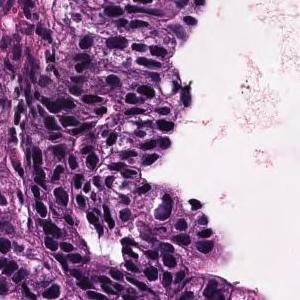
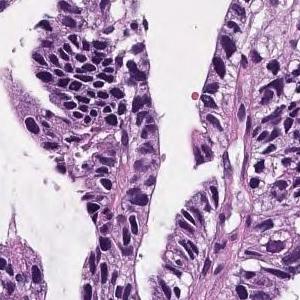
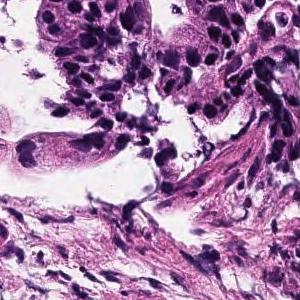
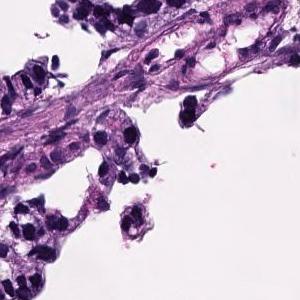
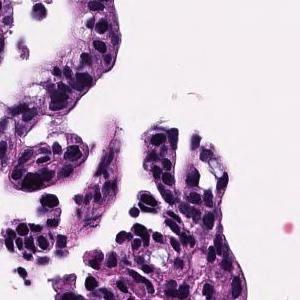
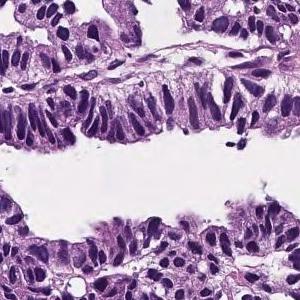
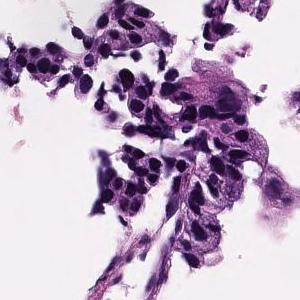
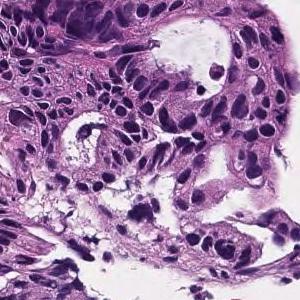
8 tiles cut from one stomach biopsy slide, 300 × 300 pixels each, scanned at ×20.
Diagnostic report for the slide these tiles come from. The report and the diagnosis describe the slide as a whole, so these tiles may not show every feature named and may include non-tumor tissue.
Tumor cells are large, highly columnar, large club-shaped nuclei, and are associated with chromatin aggregation. Papillary adenocarcinoma.
